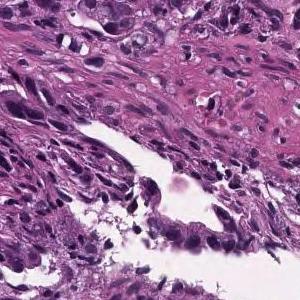
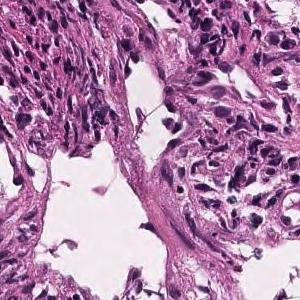
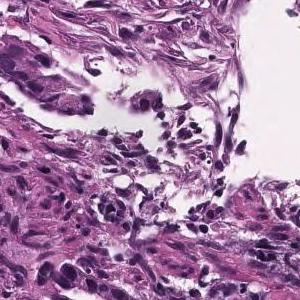
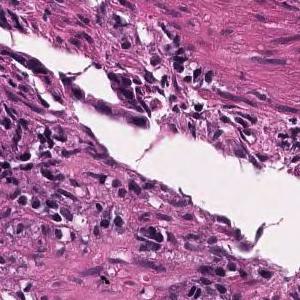
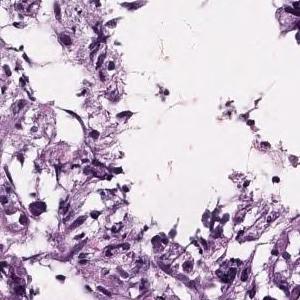
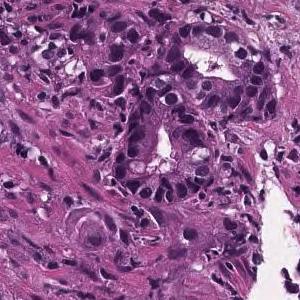
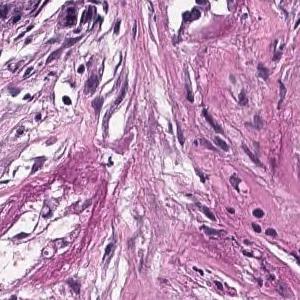
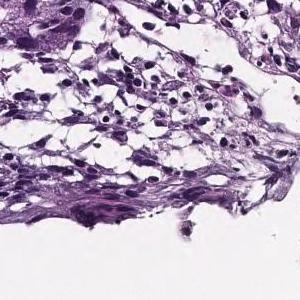
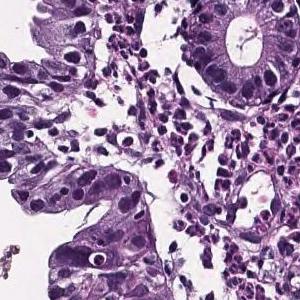
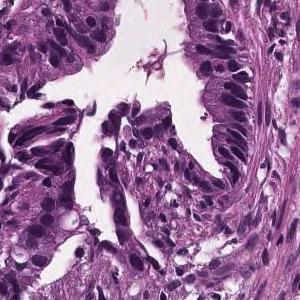
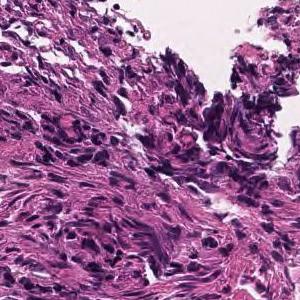
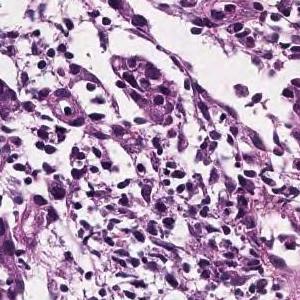
12 tiles cut from one stomach biopsy slide; 300 × 300 pixels each.
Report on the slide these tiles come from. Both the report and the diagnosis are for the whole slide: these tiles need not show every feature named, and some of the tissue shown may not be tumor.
In the superficial epithelium, tumor tissue that invades by forming medium-sized to small, irregular ducts is observed. moderately differentiated tubular adenocarcinoma.
